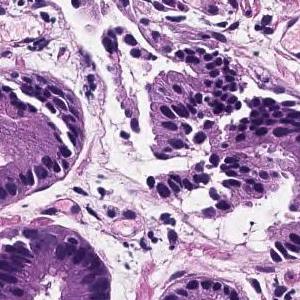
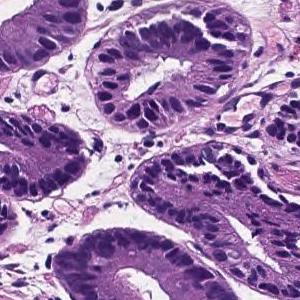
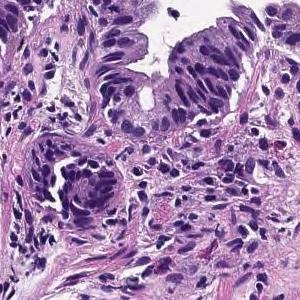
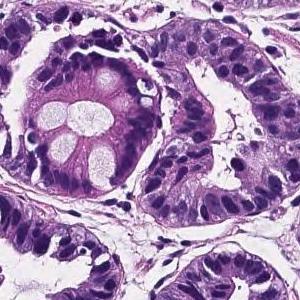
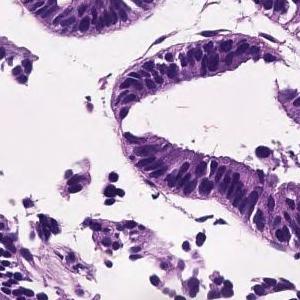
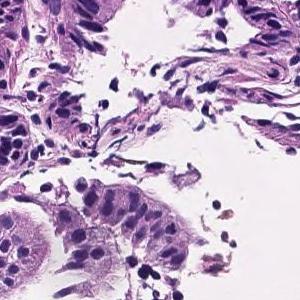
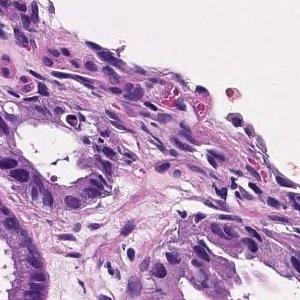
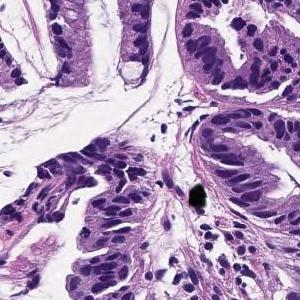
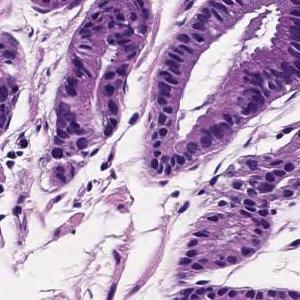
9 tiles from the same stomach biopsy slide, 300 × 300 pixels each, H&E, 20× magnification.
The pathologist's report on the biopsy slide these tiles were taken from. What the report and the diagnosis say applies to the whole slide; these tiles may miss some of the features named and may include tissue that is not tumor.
Tumor cells are large, highly columnar, large club-shaped nuclei, and are associated with chromatin aggregation. Papillary adenocarcinoma.
